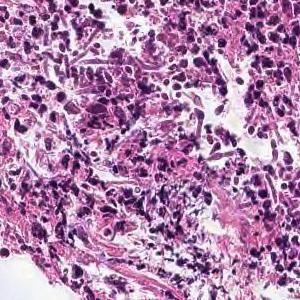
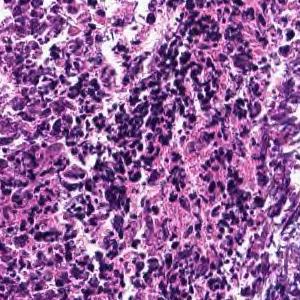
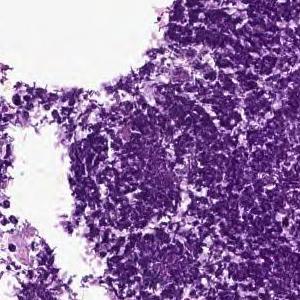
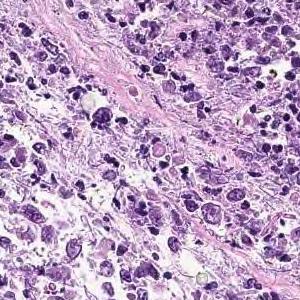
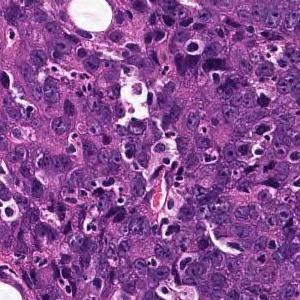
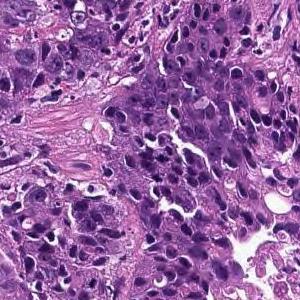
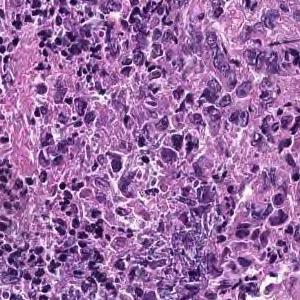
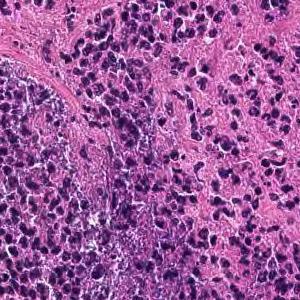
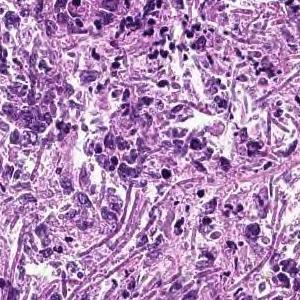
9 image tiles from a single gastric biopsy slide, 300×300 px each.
Pathology report for the biopsy slide these tiles were cut from. The report describes the whole slide, diagnosis included: not every finding it names need appear in these tiles, which may also show non-tumor tissue.
Cancers with polygonal nuclei do not show glandular formation and are densely, in part, cord-like and proliferate. Poorly differentiated adenocarcinoma
Tumor subtype: poorly differentiated adenocarcinoma, non-solid type.
"Non-solid type" is a category of the Japanese Classification of Gastric Carcinoma.
